14 tiles from the same stomach biopsy slide; hematoxylin and eosin stain; ×20.
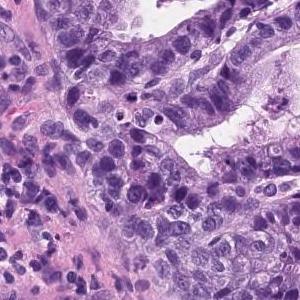
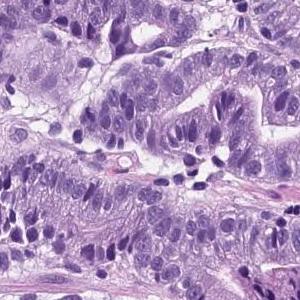
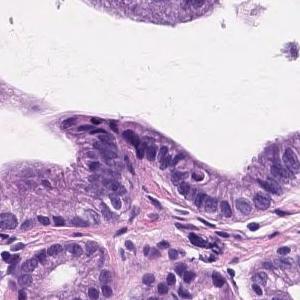
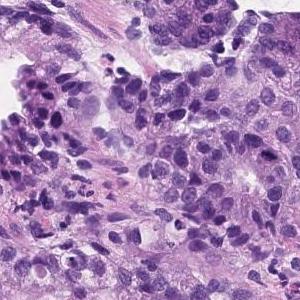
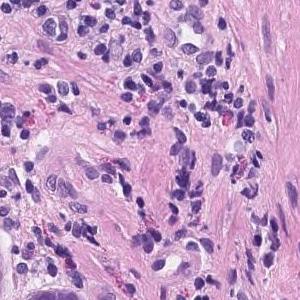
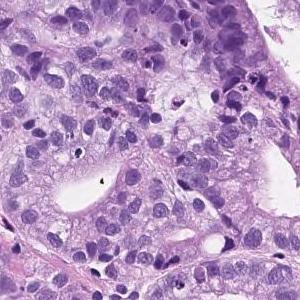
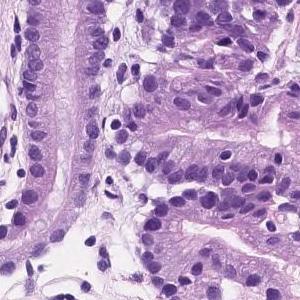
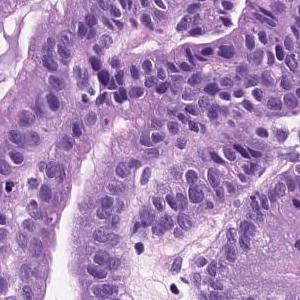
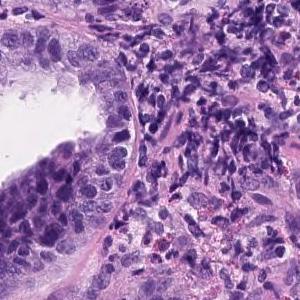
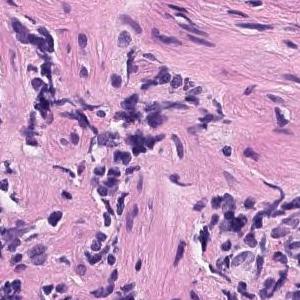
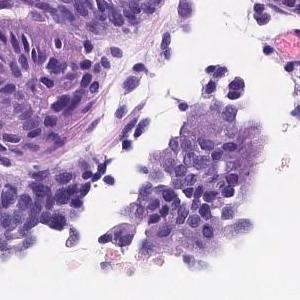
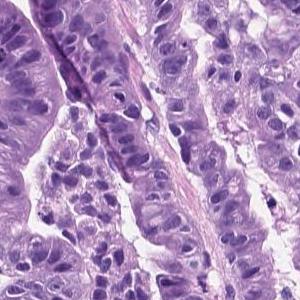
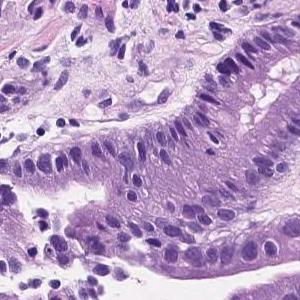
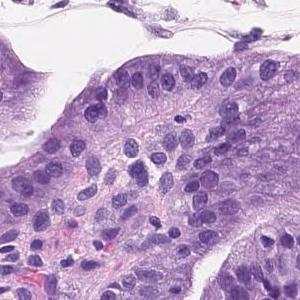
Pathology report for the biopsy slide these tiles were cut from. What the report and the diagnosis say applies to the whole slide; these tiles may miss some of the features named and may include tissue that is not tumor.
Tumor tissue consisting of medium-sized and irregular ducts is observed infiltrating in the superficial epithelium. Tumor cells are highly columnar, with nuclei aligned basolaterally and polarized. Well differentiated tubular adenocarcinoma.
